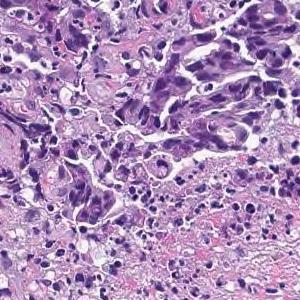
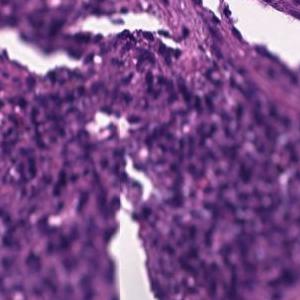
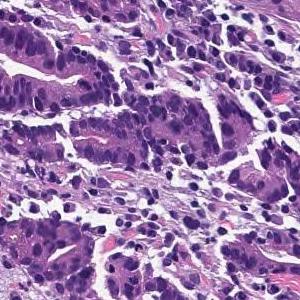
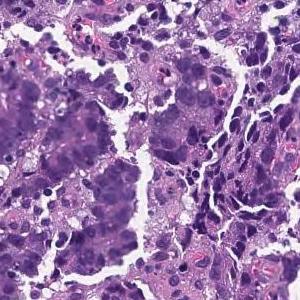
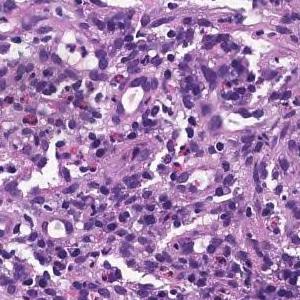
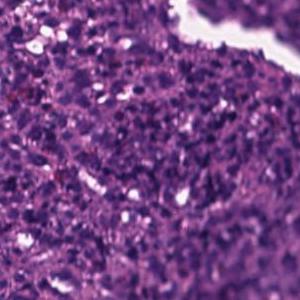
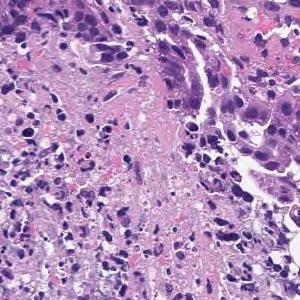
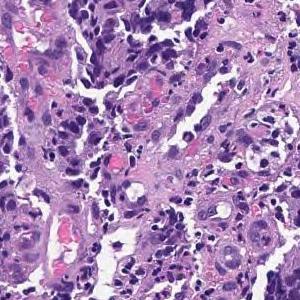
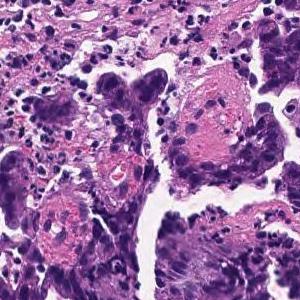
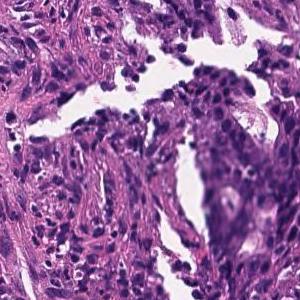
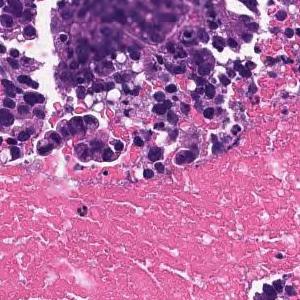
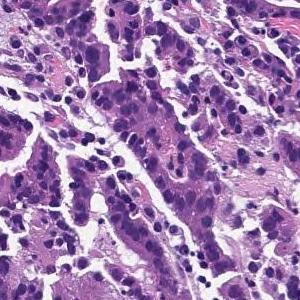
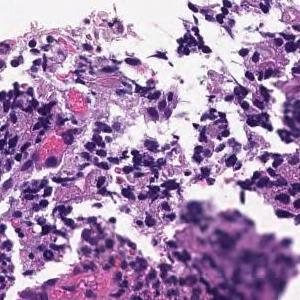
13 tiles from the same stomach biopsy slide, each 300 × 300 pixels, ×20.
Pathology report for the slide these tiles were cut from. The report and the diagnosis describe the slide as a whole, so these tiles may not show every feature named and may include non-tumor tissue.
On the superficial epithelium, tumor tissue consisting of large irregular glandular ducts partially fused and infiltrated is observed. Well to moderately differentiated tubular adenocarcinoma (well differentiated tubular adenocarcinoma, moderately differentiated tubular adenocarcinoma)
Classified as well to moderately differentiated tubular adenocarcinoma.
